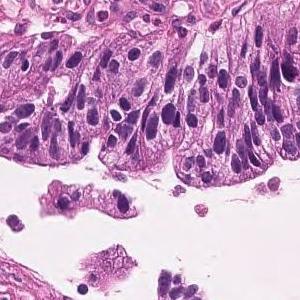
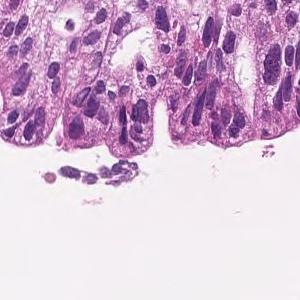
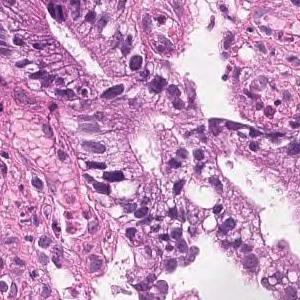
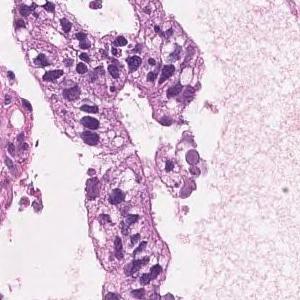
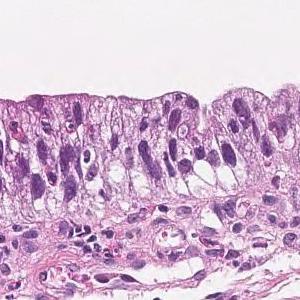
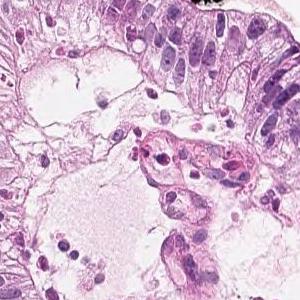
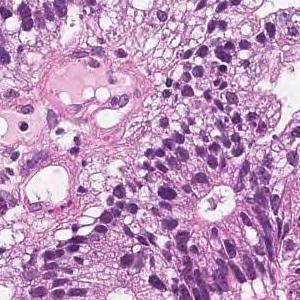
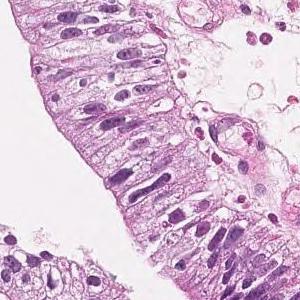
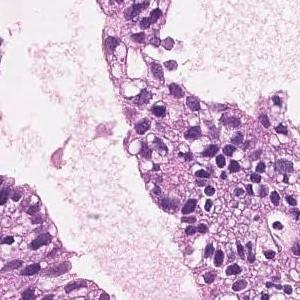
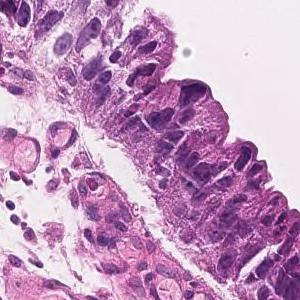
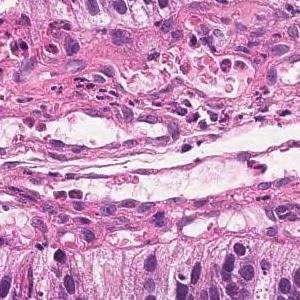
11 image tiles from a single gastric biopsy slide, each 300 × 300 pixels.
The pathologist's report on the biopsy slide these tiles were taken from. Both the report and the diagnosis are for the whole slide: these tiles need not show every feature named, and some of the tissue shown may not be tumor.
On the superficial epithelium, tumor tissue that infiltrates by forming medium-sized papillary or small irregular ducts is observed. Papillary adenocarcinoma
